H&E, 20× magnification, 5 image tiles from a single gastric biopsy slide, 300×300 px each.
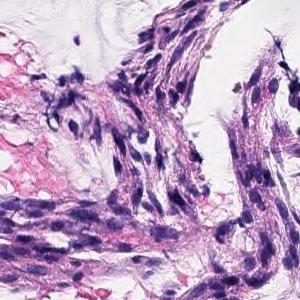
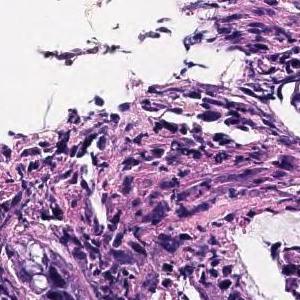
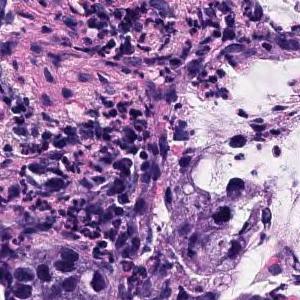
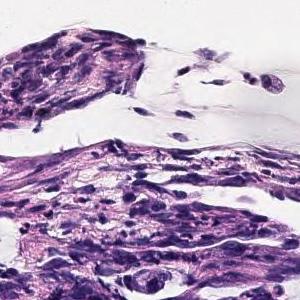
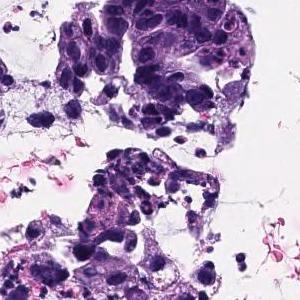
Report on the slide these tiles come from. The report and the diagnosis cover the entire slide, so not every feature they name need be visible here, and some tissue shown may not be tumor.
The superficial epithelium shows small cord-like infiltrating tumor tissue. Some part of neoplastic cells are signet ring cell type which show single invasion manner. Poorly differentiated adenocarcinoma, non-solid type.
"Non-solid type" is a category of the Japanese Classification of Gastric Carcinoma.
